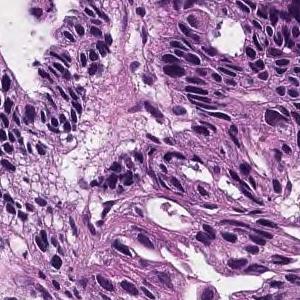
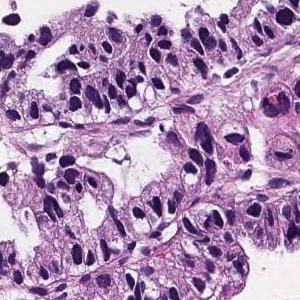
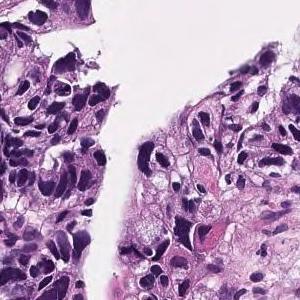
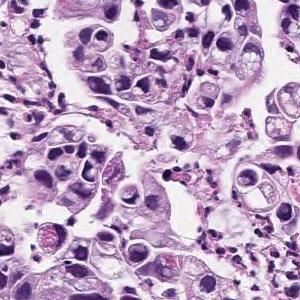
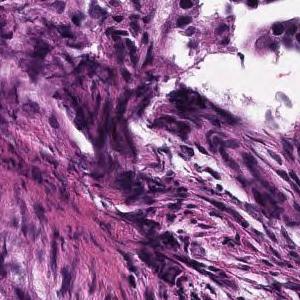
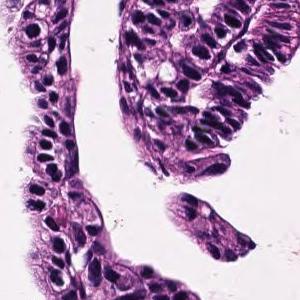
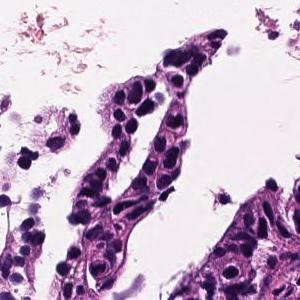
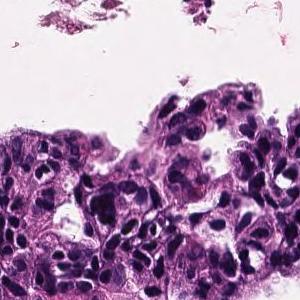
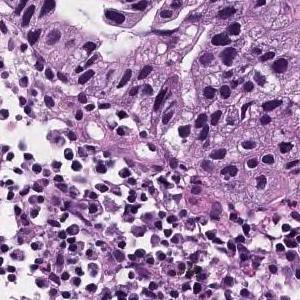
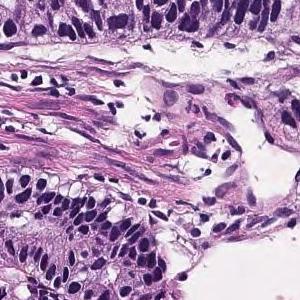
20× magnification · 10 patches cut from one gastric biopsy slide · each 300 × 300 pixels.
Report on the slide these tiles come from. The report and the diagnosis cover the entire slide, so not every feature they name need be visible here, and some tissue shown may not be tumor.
Tumor cells are large, highly columnar, large club-shaped nuclei, and are associated with chromatin aggregation. Papillary adenocarcinoma.
